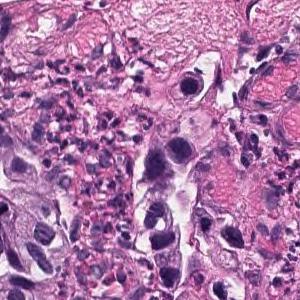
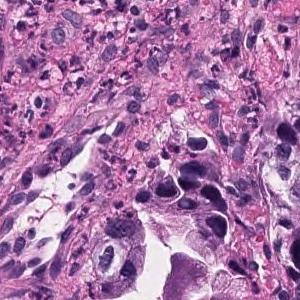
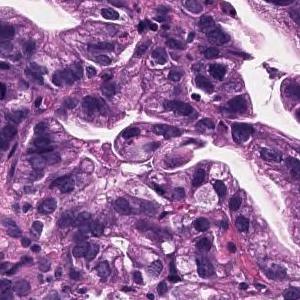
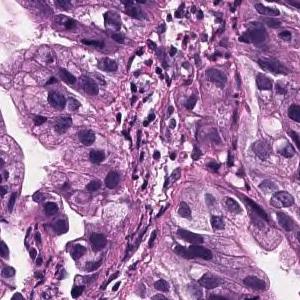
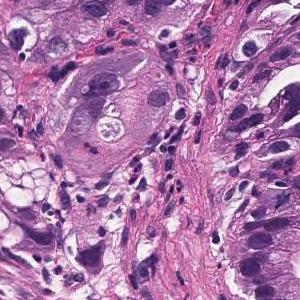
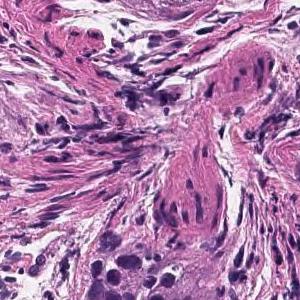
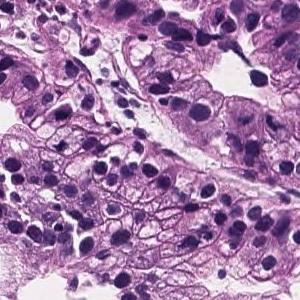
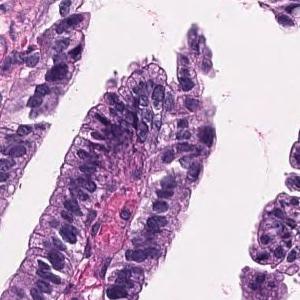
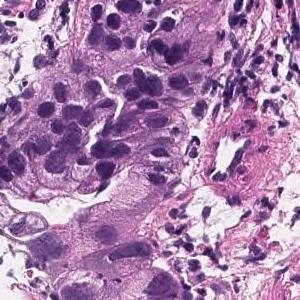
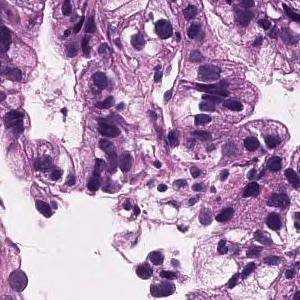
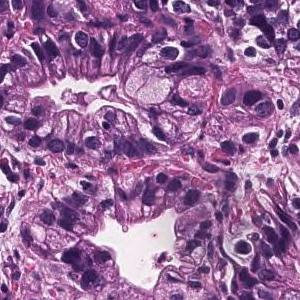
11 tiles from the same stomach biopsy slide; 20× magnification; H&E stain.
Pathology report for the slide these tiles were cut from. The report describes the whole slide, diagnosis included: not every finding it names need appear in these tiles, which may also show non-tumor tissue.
Tumor cells are large, highly columnar, large club-shaped nuclei, and are associated with chromatin aggregation. Papillary adenocarcinoma.
